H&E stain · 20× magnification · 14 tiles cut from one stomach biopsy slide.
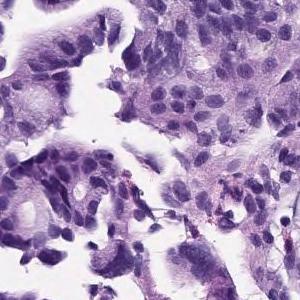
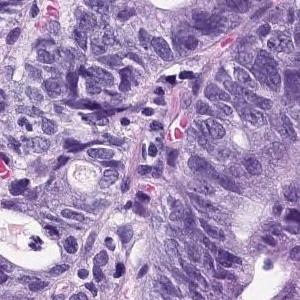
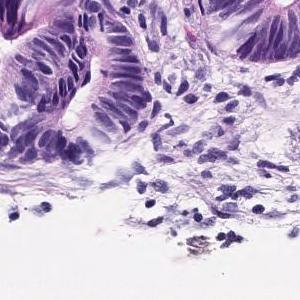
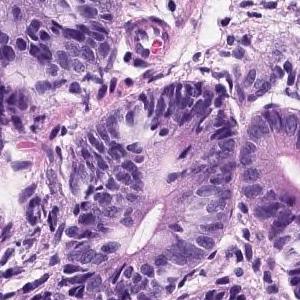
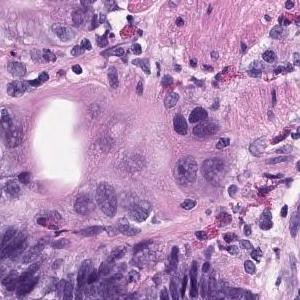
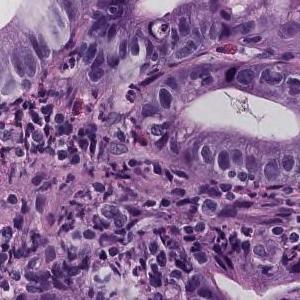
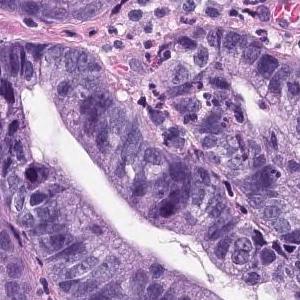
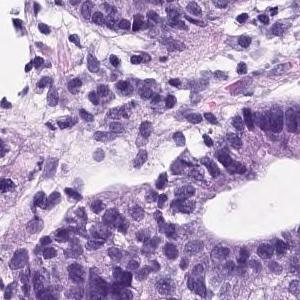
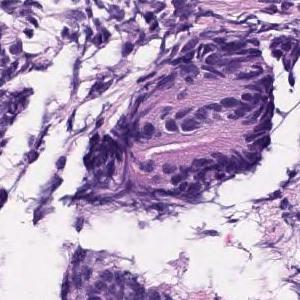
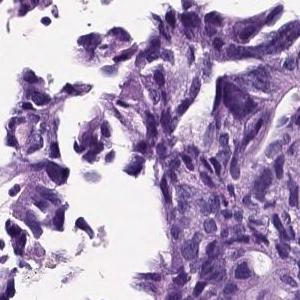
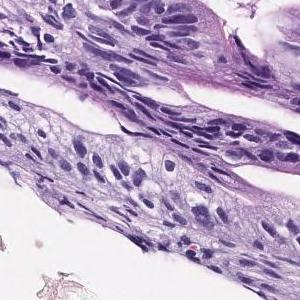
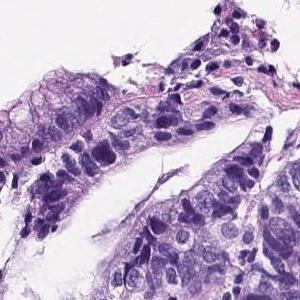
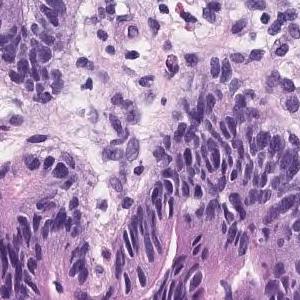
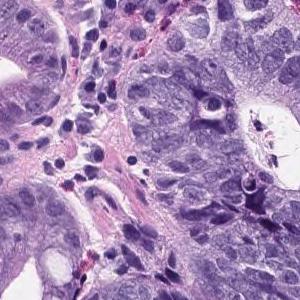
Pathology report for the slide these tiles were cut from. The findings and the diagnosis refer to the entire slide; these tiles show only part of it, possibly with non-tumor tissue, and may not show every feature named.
On the superficial epithelium, tumor tissue consisting of medium-sized to large-sized, round or irregular glandular duct growth images is observed. Well differentiated adenocarcinoma.
Classified as well differentiated tubular adenocarcinoma.
